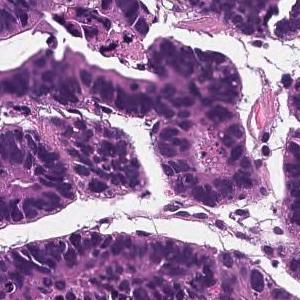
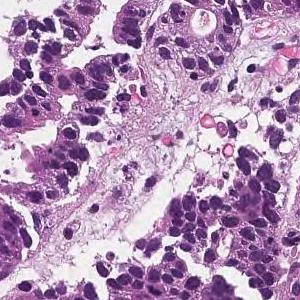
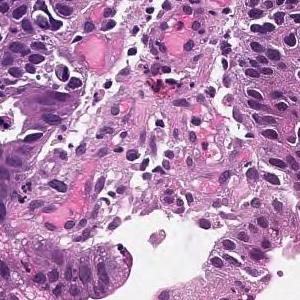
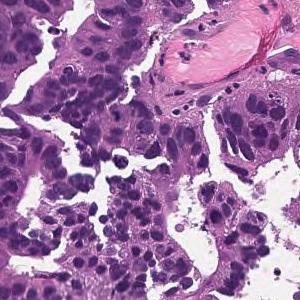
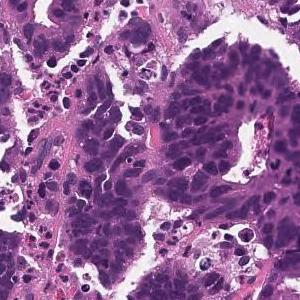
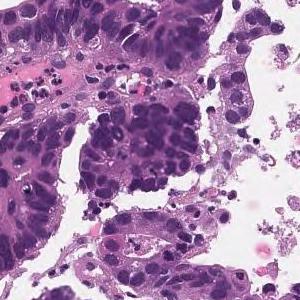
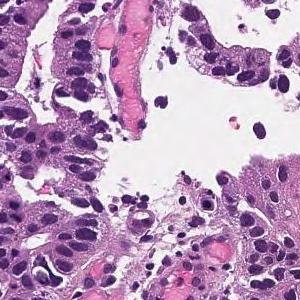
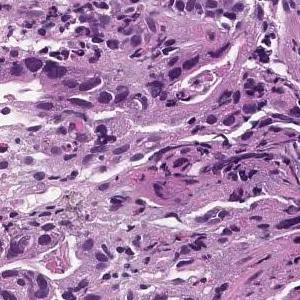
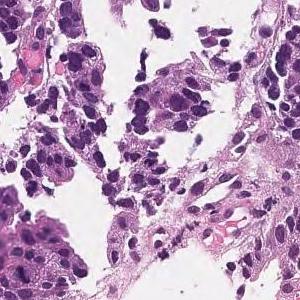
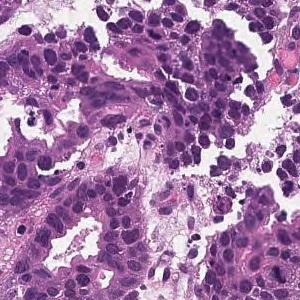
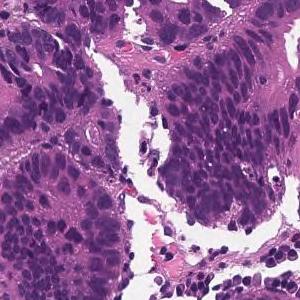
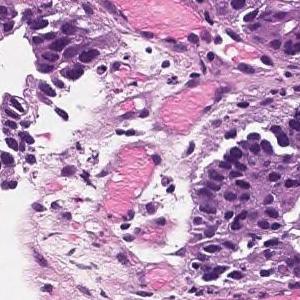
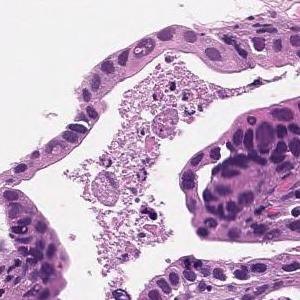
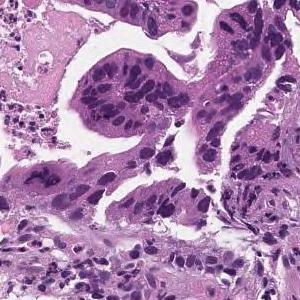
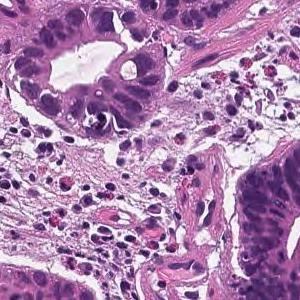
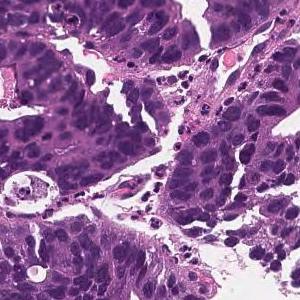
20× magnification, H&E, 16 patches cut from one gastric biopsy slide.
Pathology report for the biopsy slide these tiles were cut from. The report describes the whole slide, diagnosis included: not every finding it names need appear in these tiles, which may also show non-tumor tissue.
In the superficial epithelium, tumor tissue that invades by forming medium-sized to small, irregular ducts is observed. moderately differentiated tubular adenocarcinoma.
